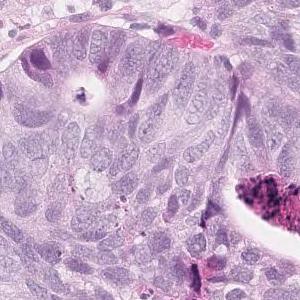
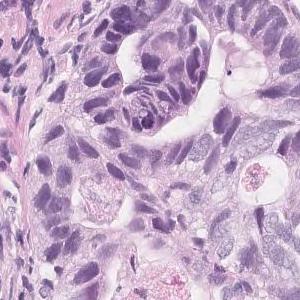
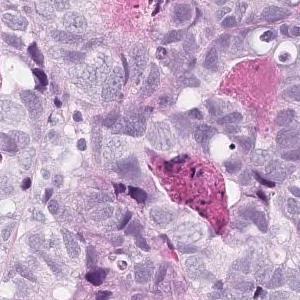
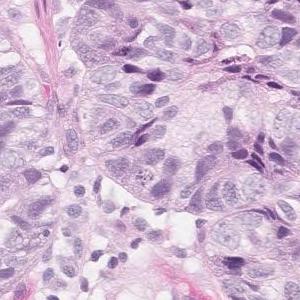
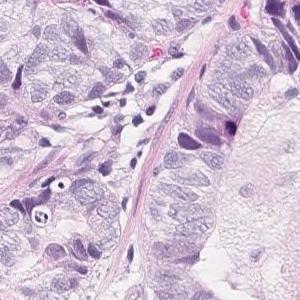
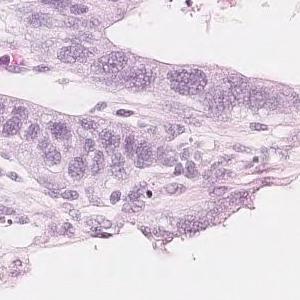
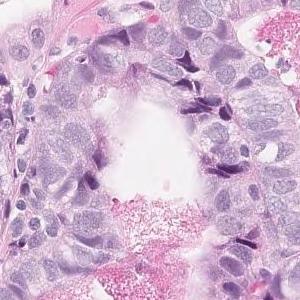
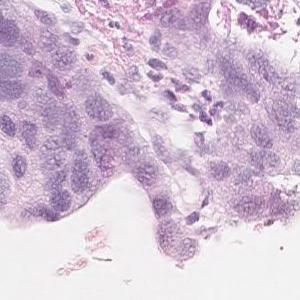
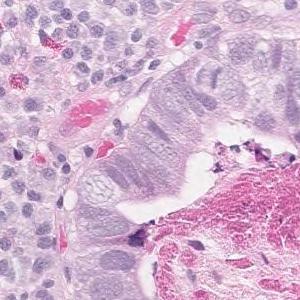
9 tiles cut from one stomach biopsy slide, 300×300 px each, 20× magnification, H&E.
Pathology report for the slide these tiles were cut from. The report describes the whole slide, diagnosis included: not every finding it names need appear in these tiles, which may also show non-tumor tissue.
In the superficial epithelium, tumor tissue that invades by forming medium-sized to small, irregular ducts is observed. Moderately differentiated adenocarcinoma.
Subtype: Moderately differentiated tubular adenocarcinoma.
